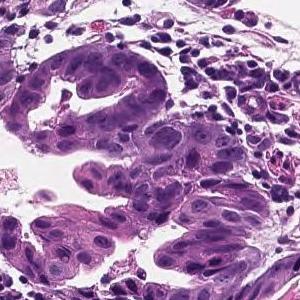
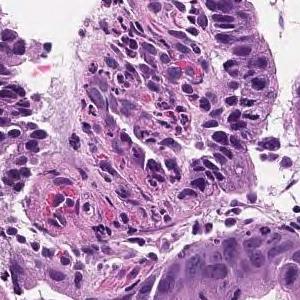
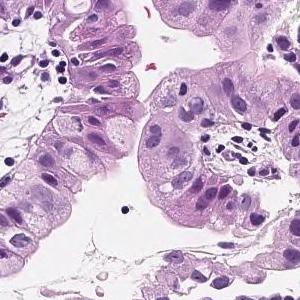
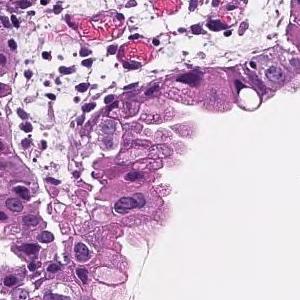
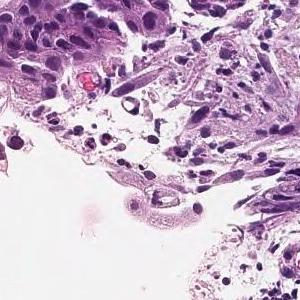
H&E · ×20 · 5 tiles cut from one stomach biopsy slide.
Diagnostic report for the slide these tiles come from. The report and the diagnosis describe the slide as a whole, so these tiles may not show every feature named and may include non-tumor tissue.
On the superficial epithelium, tumor tissue that infiltrates by forming medium-sized papillary or small irregular ducts is observed. Papillary adenocarcinoma
